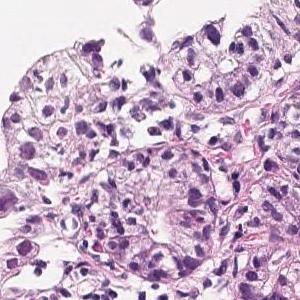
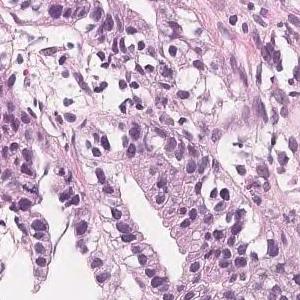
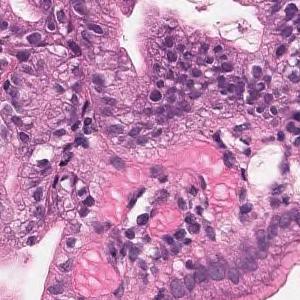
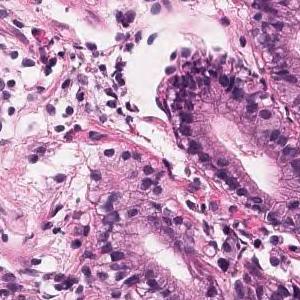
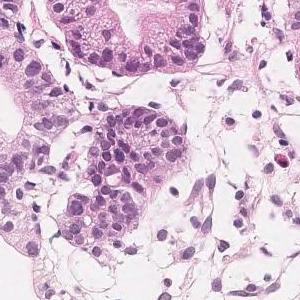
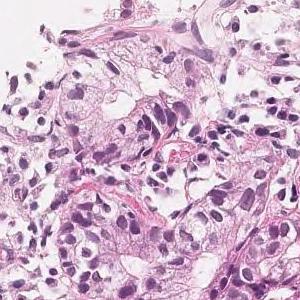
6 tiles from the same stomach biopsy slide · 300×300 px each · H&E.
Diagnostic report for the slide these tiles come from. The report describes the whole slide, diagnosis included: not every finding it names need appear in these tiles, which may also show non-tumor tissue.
Proliferation of atypical glandular ducts that fuse and show a sieving structure is observed. moderately differentiated tubular adenocarcinoma
